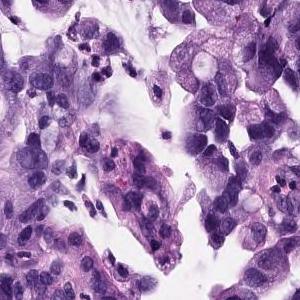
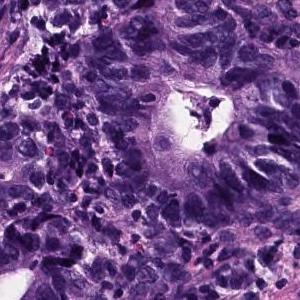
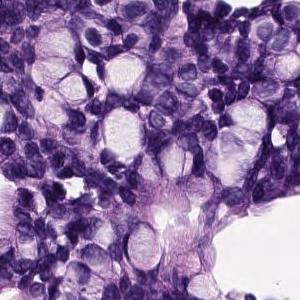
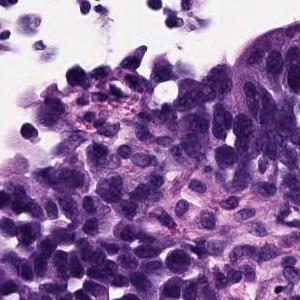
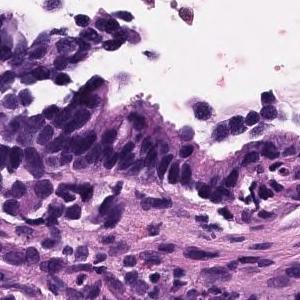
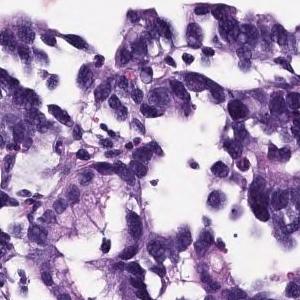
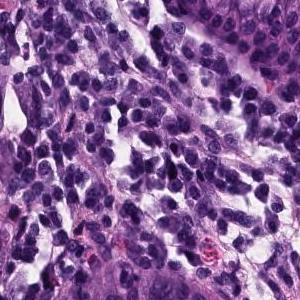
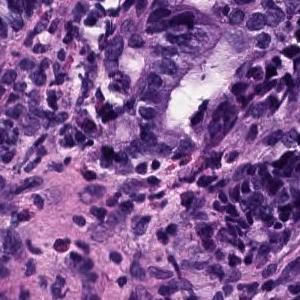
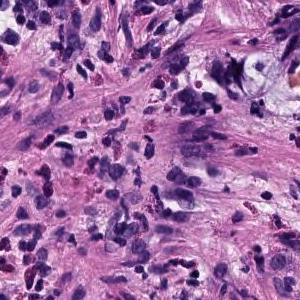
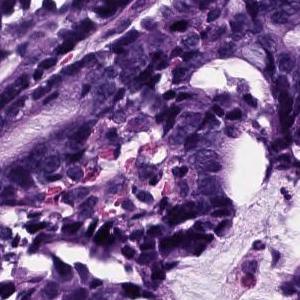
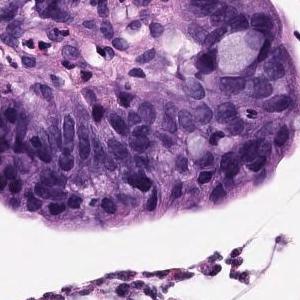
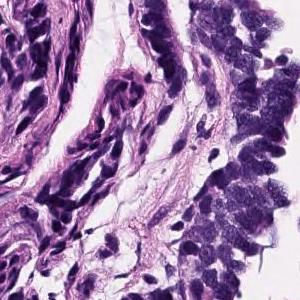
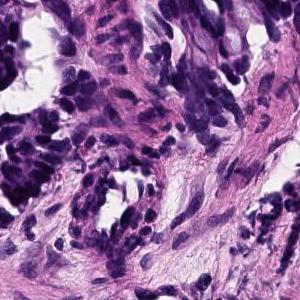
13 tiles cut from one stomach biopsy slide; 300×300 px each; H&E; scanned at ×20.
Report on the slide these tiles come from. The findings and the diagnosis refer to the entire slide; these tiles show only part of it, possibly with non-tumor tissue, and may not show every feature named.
Atypical epithelium proliferating showing villus construction and irregular gland duct construction is observed. Moderately differentiated tubular adenocarcinoma.
